×20, H&E, 16 patches cut from one gastric biopsy slide.
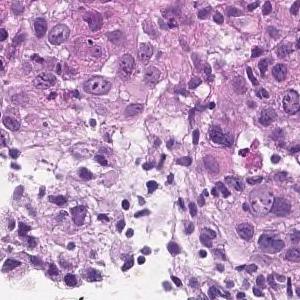
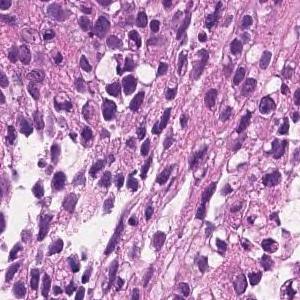
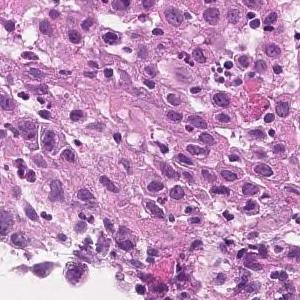
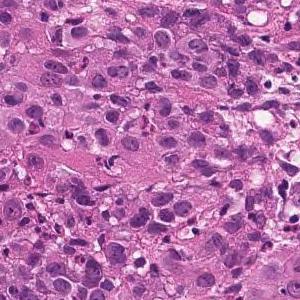
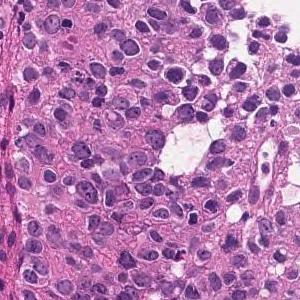
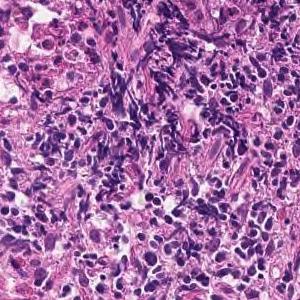
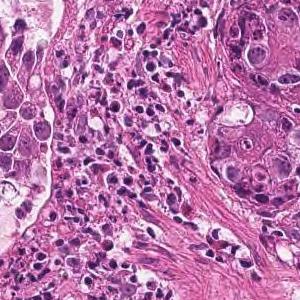
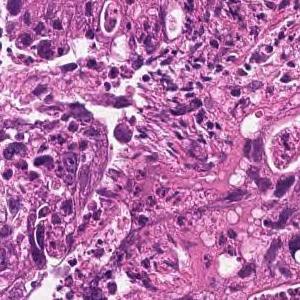
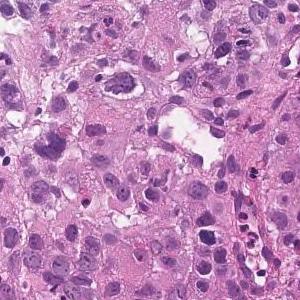
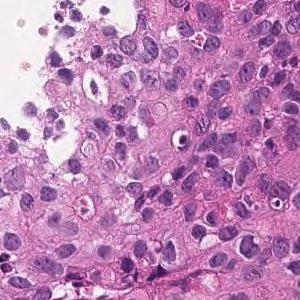
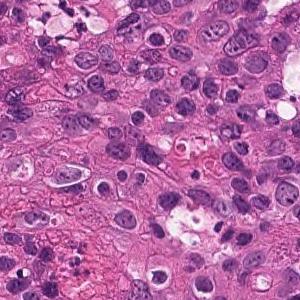
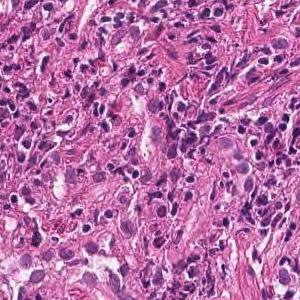
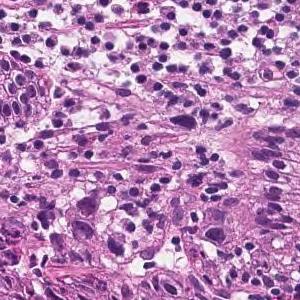
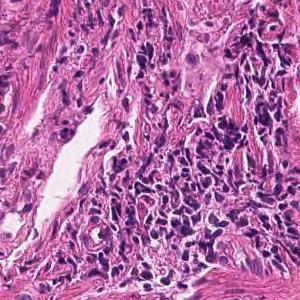
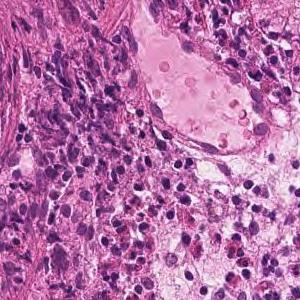
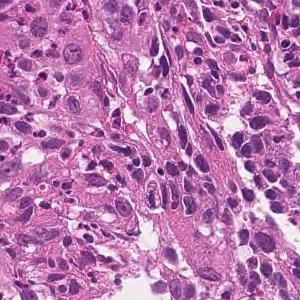
Report on the slide these tiles come from. The findings and the diagnosis refer to the entire slide; these tiles show only part of it, possibly with non-tumor tissue, and may not show every feature named.
The superficial epithelium shows a large sheet-like shape, and some tumor tissue infiltrates with small irregular ducts. Poorly differentiated adenocarcinoma, solid-type
Histological subtype: Poorly differentiated adenocarcinoma, solid type. This name comes from the Japanese Classification of Gastric Carcinoma; the WHO 2019 classification calls it tubular adenocarcinoma, poorly differentiated.
